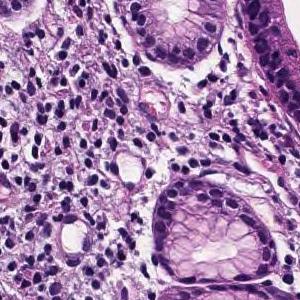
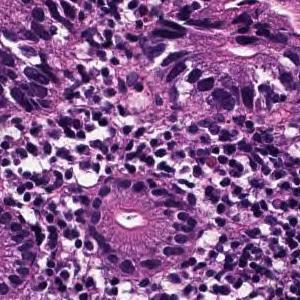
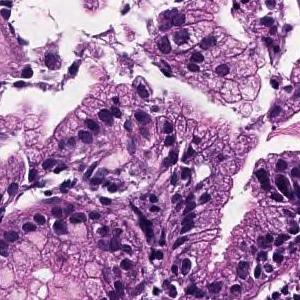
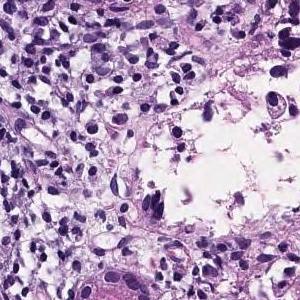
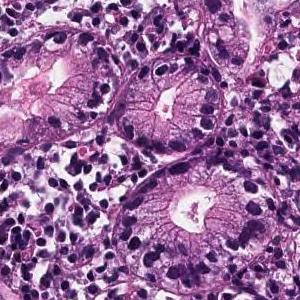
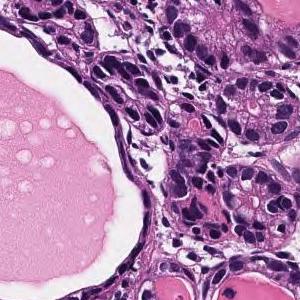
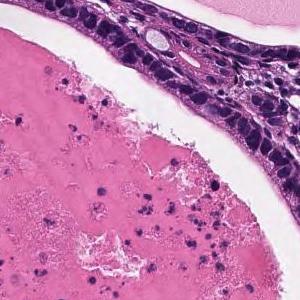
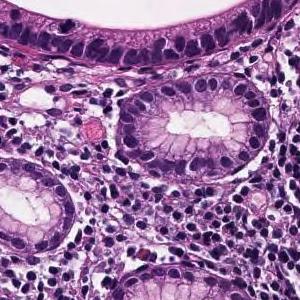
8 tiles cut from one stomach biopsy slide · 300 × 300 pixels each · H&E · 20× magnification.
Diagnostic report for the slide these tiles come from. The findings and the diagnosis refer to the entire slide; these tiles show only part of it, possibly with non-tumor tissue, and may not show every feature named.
From the superficial epithelium to the muscularis mucosae, tumor tissue consisting of medium-sized and irregular glandular ducts infiltrating is observed. Well differentiated tubular adenocarcinoma
